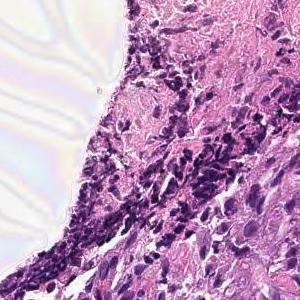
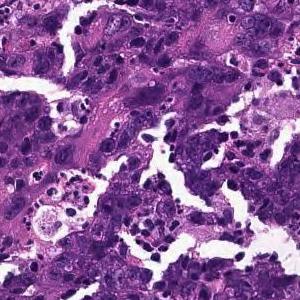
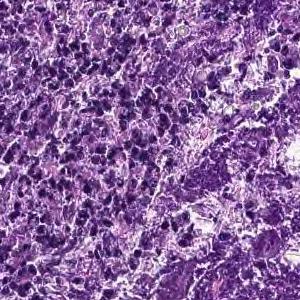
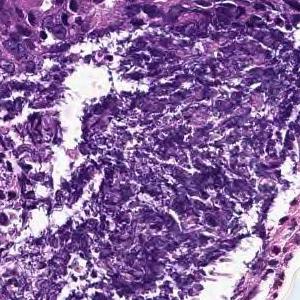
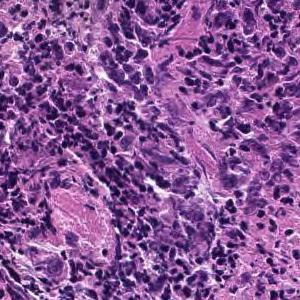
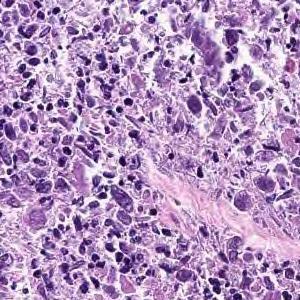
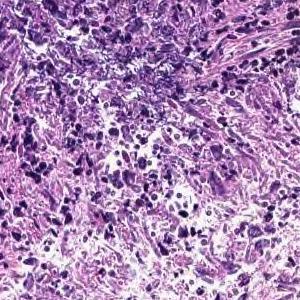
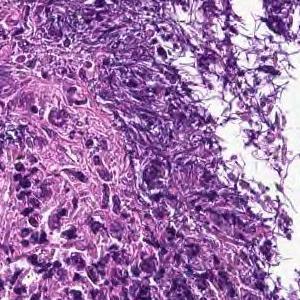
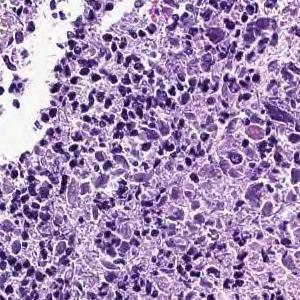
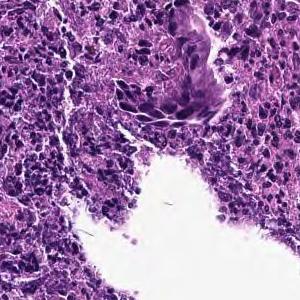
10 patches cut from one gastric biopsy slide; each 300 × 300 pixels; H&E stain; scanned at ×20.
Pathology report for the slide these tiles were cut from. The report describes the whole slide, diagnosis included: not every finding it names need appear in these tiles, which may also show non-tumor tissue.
Cancers with polygonal nuclei do not show glandular formation and are densely, in part, cord-like and proliferate. Poorly differentiated adenocarcinoma
Classified as poorly differentiated adenocarcinoma, non-solid type.
"Non-solid type" is a category of the Japanese Classification of Gastric Carcinoma.
